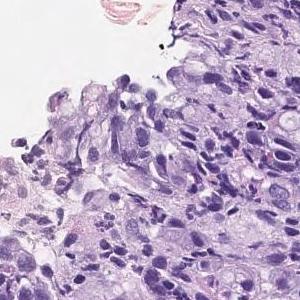
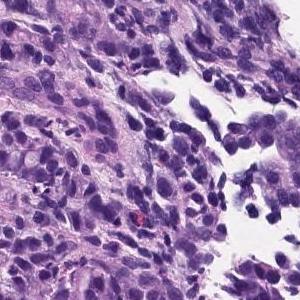
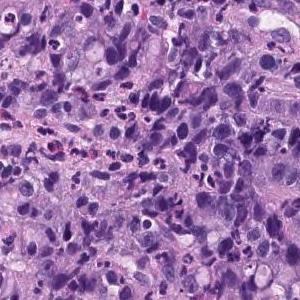
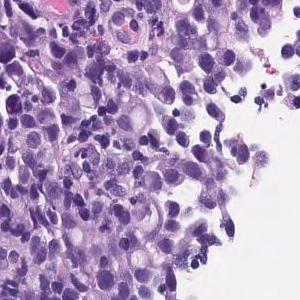
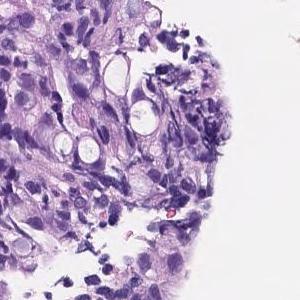
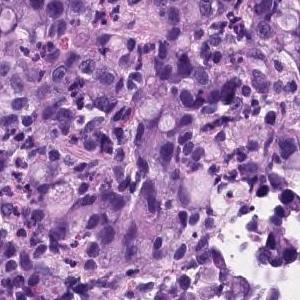
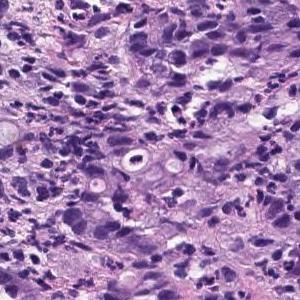
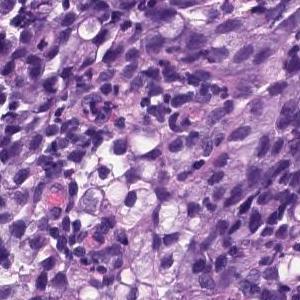
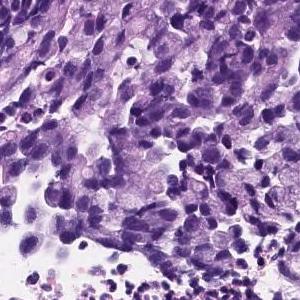
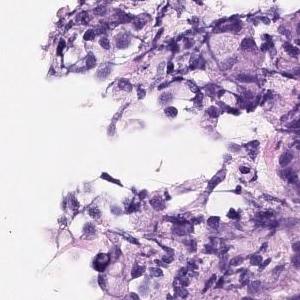
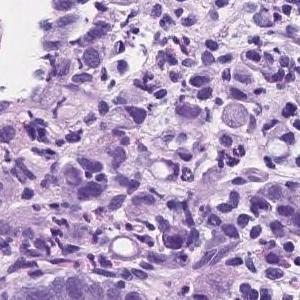
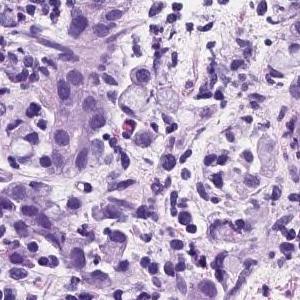
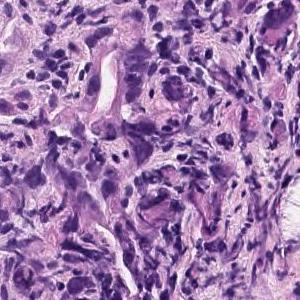
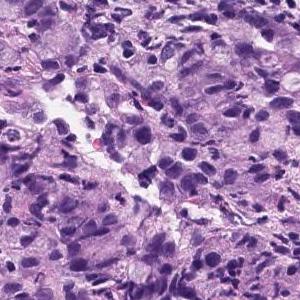
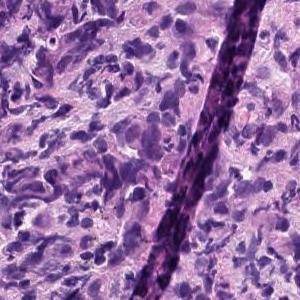
15 tiles cut from one stomach biopsy slide; each 300 × 300 pixels; H&E; ×20.
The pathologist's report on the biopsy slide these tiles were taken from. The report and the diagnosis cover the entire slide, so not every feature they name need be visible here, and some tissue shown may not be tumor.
Diffusely growing signet-ring cells are found in the lamina propria. Signet ring cell carcinoma.
